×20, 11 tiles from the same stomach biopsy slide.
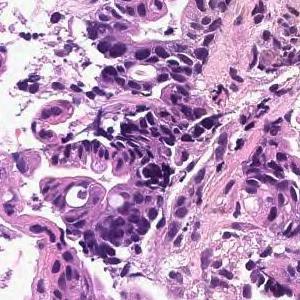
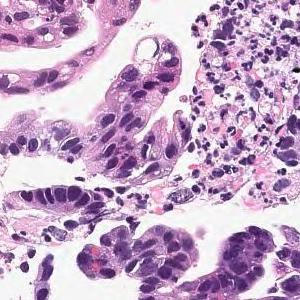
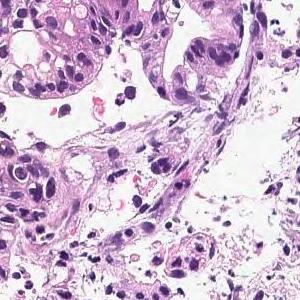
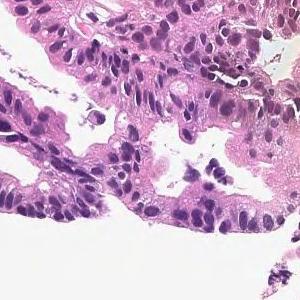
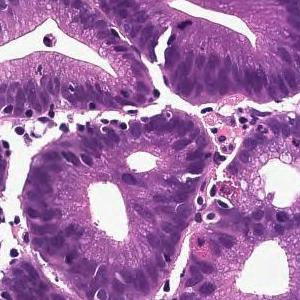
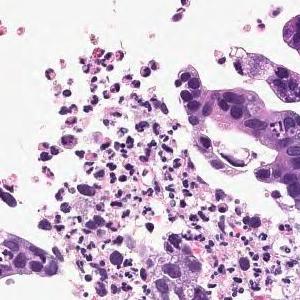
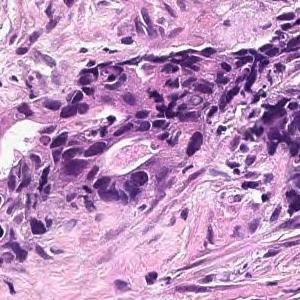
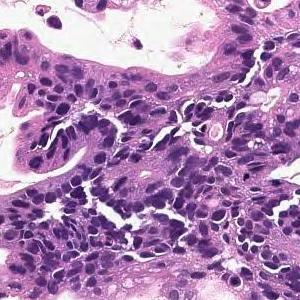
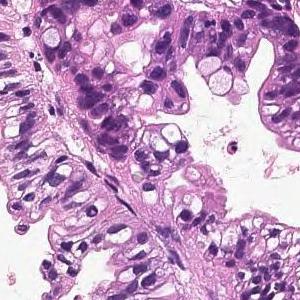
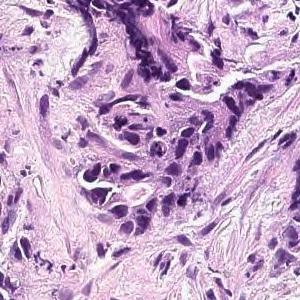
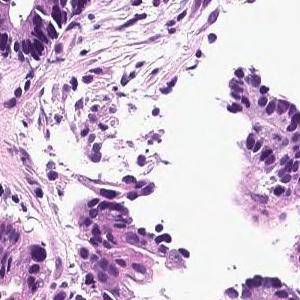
Pathology report for the slide these tiles were cut from. Both the report and the diagnosis are for the whole slide: these tiles need not show every feature named, and some of the tissue shown may not be tumor.
In the superficial epithelium, tumor tissue that invades by forming medium-sized to small, irregular ducts is observed. moderately differentiated tubular adenocarcinoma.
